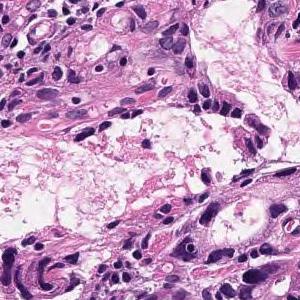
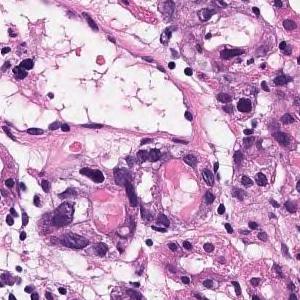
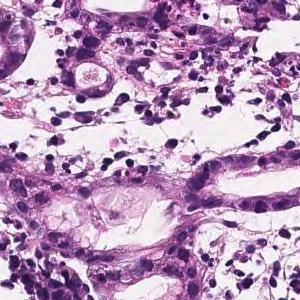
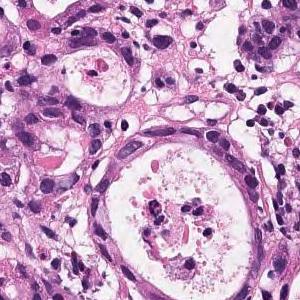
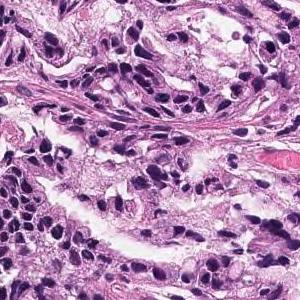
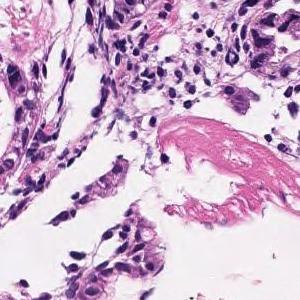
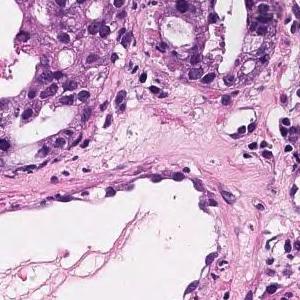
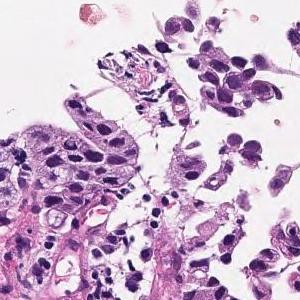
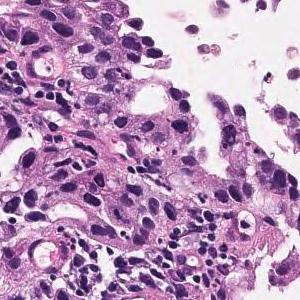
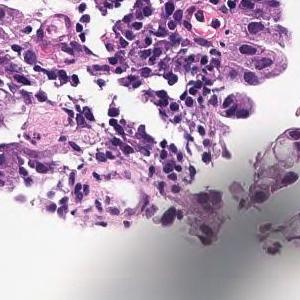
10 image tiles from a single gastric biopsy slide · scanned at ×20 · H&E stain.
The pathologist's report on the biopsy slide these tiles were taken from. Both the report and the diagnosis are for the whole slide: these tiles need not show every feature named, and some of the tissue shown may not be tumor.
In the superficial epithelium, tumor tissue that invades by forming medium-sized to small, irregular ducts is observed. Moderately differentiated adenocarcinoma.
Classified as moderately differentiated tubular adenocarcinoma.
